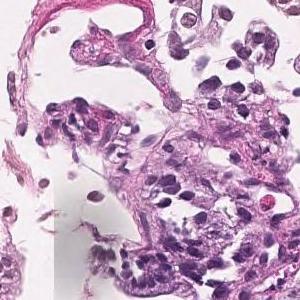
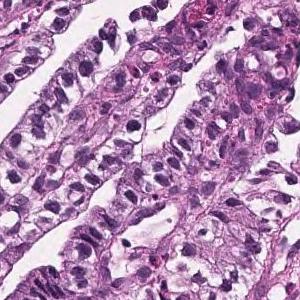
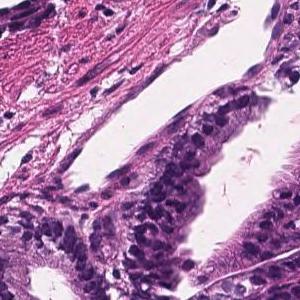
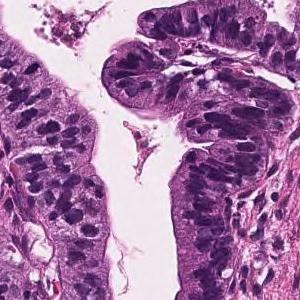
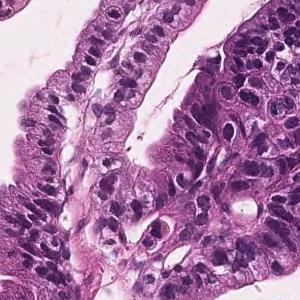
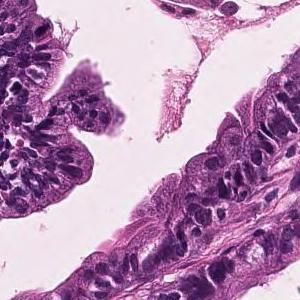
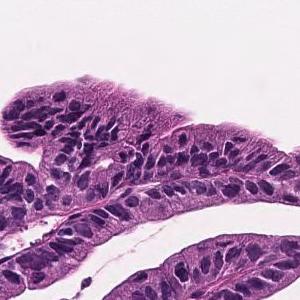
20× magnification; H&E; 7 image tiles from a single gastric biopsy slide; each 300 × 300 pixels.
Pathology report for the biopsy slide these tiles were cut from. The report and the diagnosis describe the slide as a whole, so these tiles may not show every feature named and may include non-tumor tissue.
Tumor cells are large, highly columnar, large club-shaped nuclei, and are associated with chromatin aggregation. Papillary adenocarcinoma.
